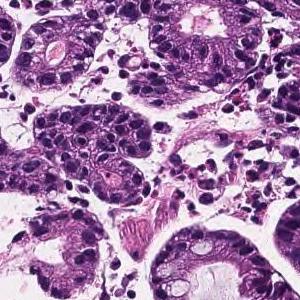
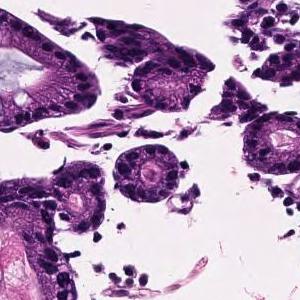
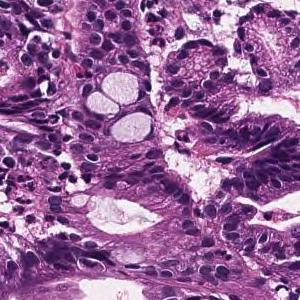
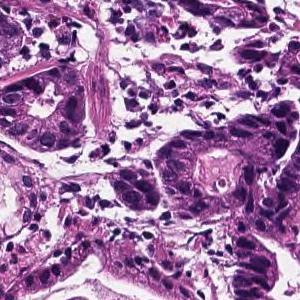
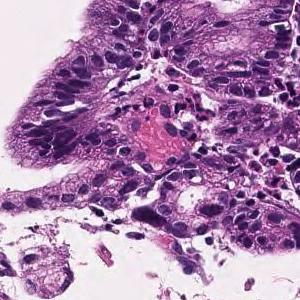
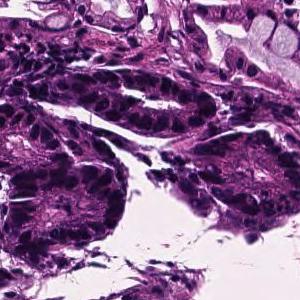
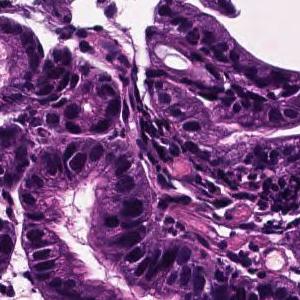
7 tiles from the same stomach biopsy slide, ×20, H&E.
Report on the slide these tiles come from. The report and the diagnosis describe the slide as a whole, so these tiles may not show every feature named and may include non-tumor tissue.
On the superficial epithelium, tumor tissue that infiltrates by forming medium-sized papillary or small irregular ducts is observed. Papillary adenocarcinoma
